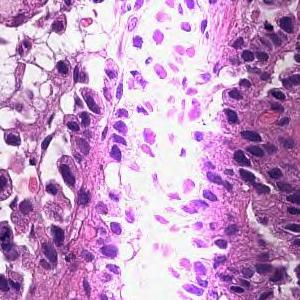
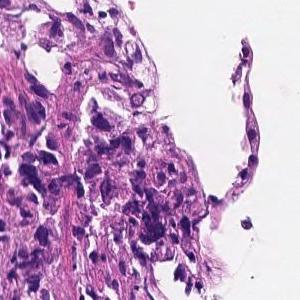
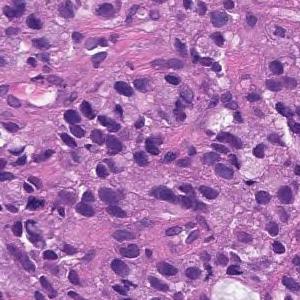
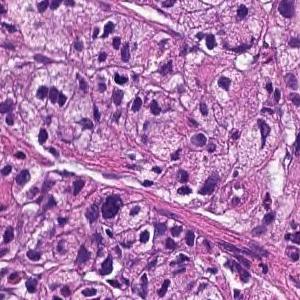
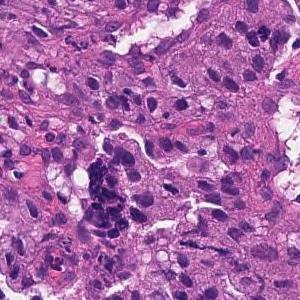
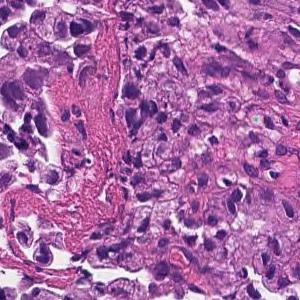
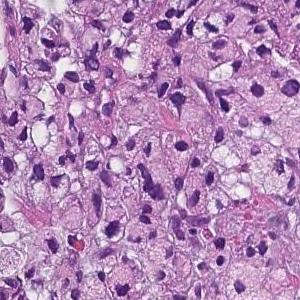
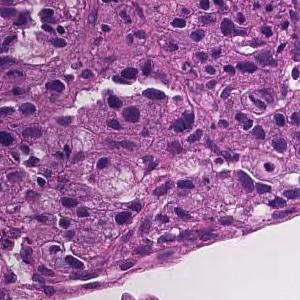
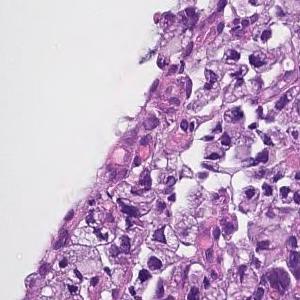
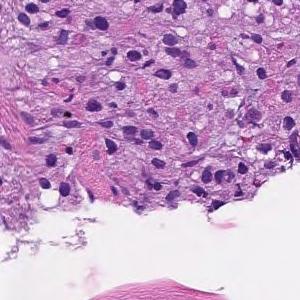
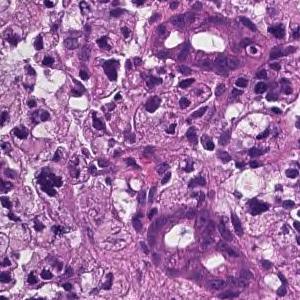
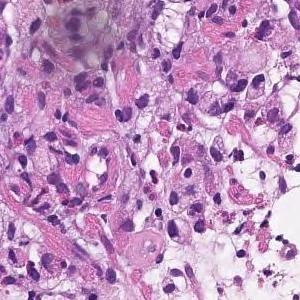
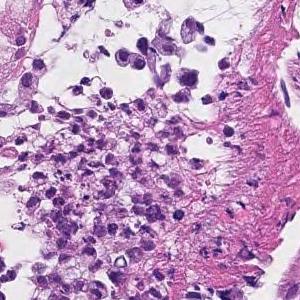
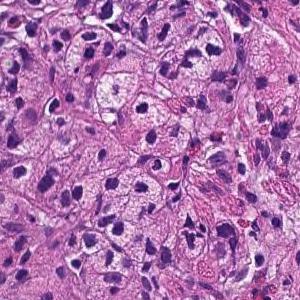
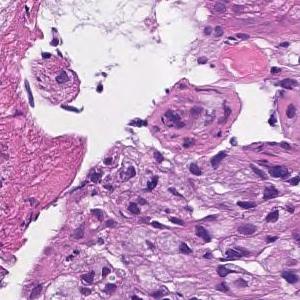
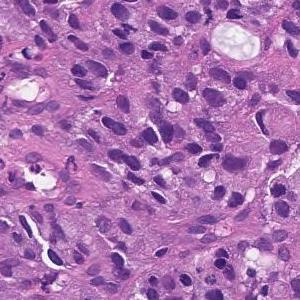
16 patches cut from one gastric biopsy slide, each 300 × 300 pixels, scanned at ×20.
Pathology report for the biopsy slide these tiles were cut from. Both the report and the diagnosis are for the whole slide: these tiles need not show every feature named, and some of the tissue shown may not be tumor.
In the lamina propria, a tumor tissue consisting of signet ring cell type atypical epithelial cells infiltrating is observed. Signet ring cell carcinoma.
